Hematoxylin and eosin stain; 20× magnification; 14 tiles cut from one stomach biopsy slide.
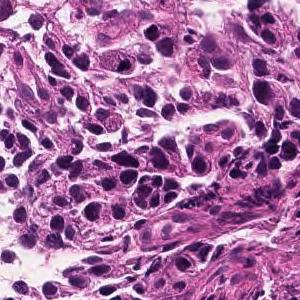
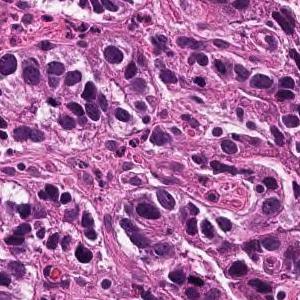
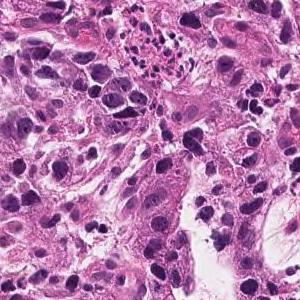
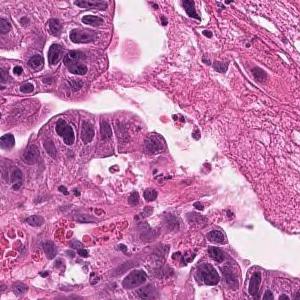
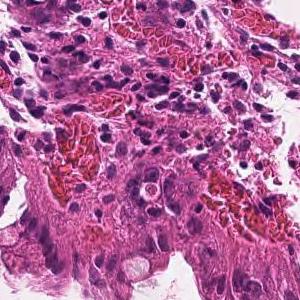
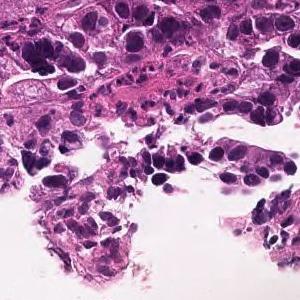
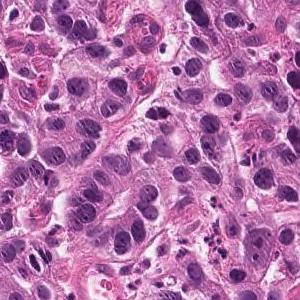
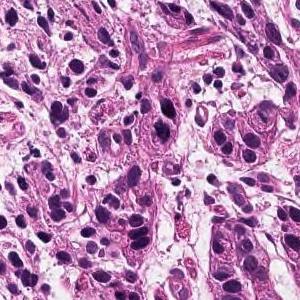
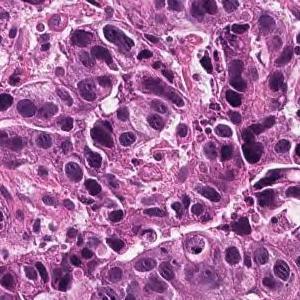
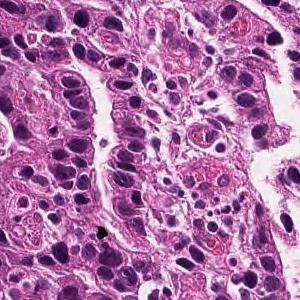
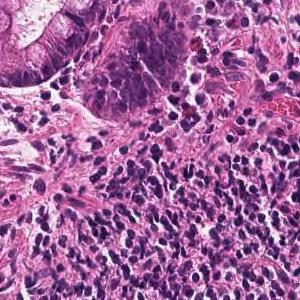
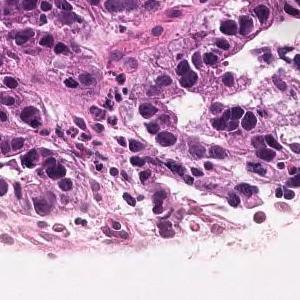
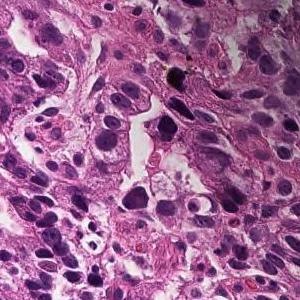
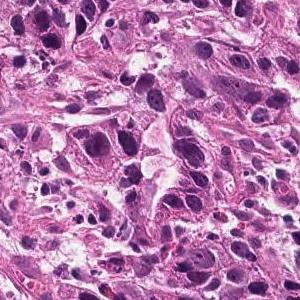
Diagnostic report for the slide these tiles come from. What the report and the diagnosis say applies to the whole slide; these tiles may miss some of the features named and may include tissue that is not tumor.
Tumor tissue consisting of medium-sized, cord-like or irregular glandular infiltration is observed in the superficial epithelium. Poorly differentiated adenocarcinoma, non-solid type or moderately differentiated tubular adenocarcinoma
Tumor subtype: moderately to poorly differentiated adenocarcinoma.
"Non-solid type" is a category of the Japanese Classification of Gastric Carcinoma.
